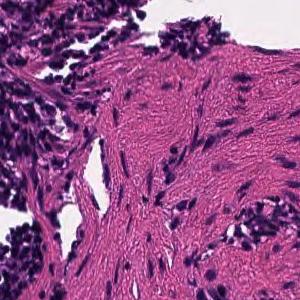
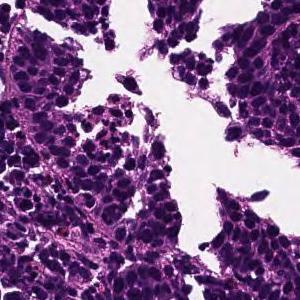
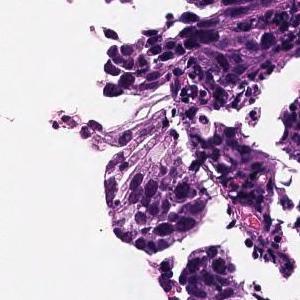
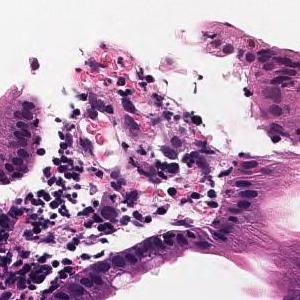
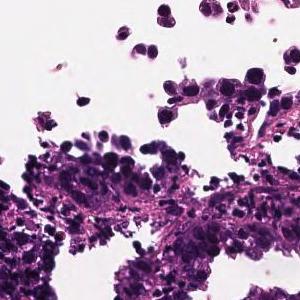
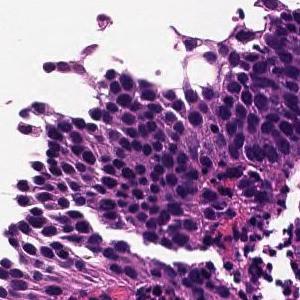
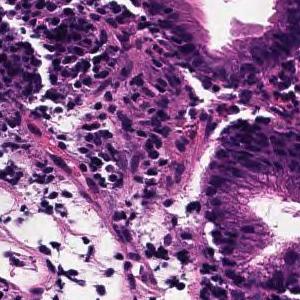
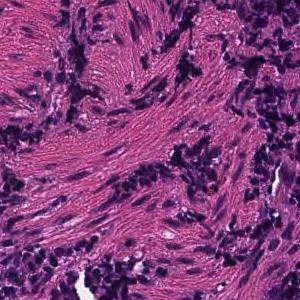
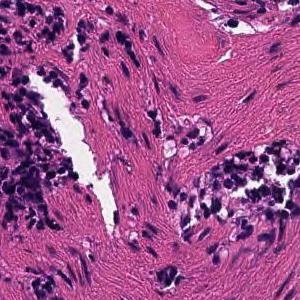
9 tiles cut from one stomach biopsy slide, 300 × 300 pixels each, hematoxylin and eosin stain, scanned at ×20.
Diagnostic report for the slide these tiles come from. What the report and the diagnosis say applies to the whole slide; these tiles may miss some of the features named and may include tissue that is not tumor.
Tumor tissue consisting of cord-like or small, irregular glandular ducts fused and infiltrated is observed in the superficial epithelium. Poorly differentiated adenocarcinoma, non-solid type
"Non-solid type" is a category of the Japanese Classification of Gastric Carcinoma.
